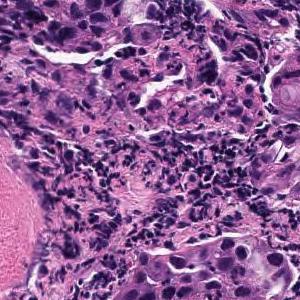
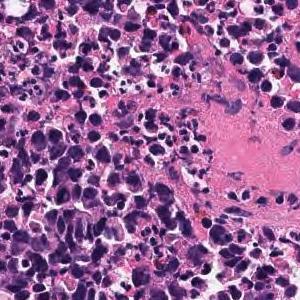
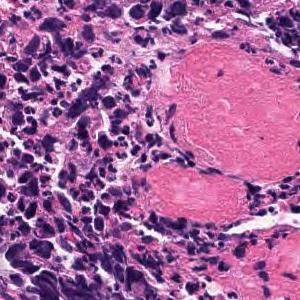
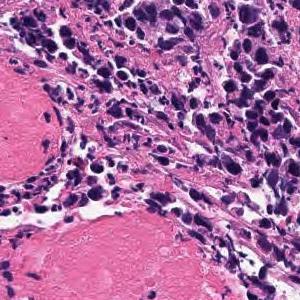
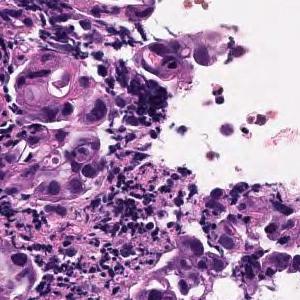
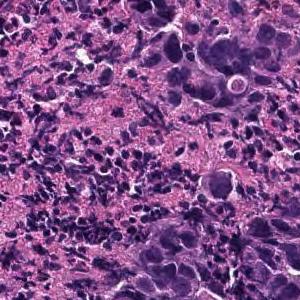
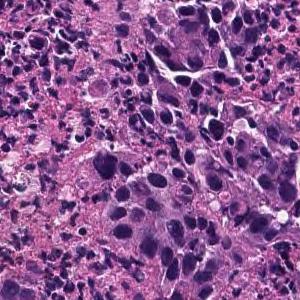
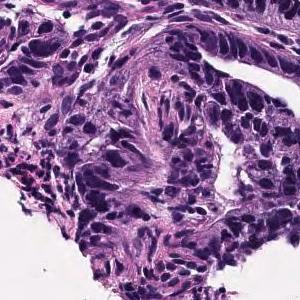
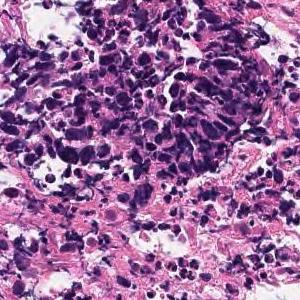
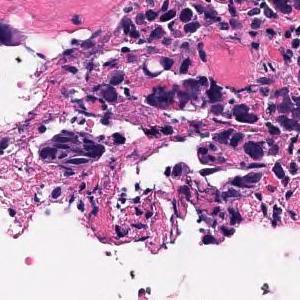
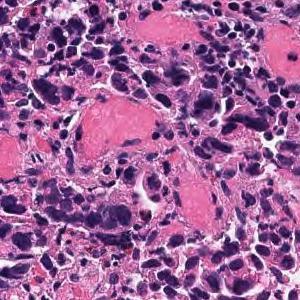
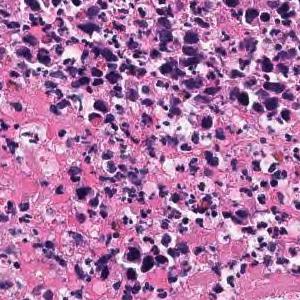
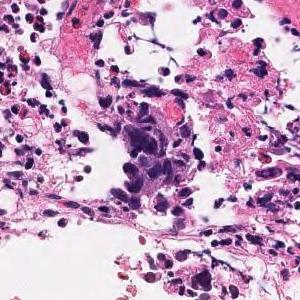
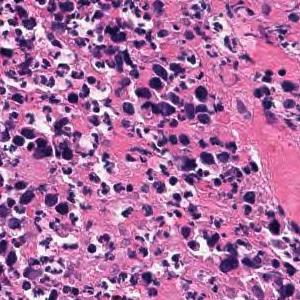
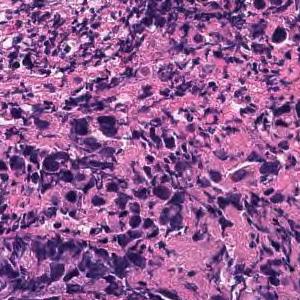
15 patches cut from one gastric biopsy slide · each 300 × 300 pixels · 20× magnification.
The pathologist's report on the biopsy slide these tiles were taken from. The findings and the diagnosis refer to the entire slide; these tiles show only part of it, possibly with non-tumor tissue, and may not show every feature named.
In the superficial epithelium, tumor tissue that invades by forming medium-sized to small, irregular ducts is observed. Tumor cells are columnar or cuboidal in shape. Moderately differentiated adenocarcinoma.
Histologic type: Moderately differentiated tubular adenocarcinoma.
